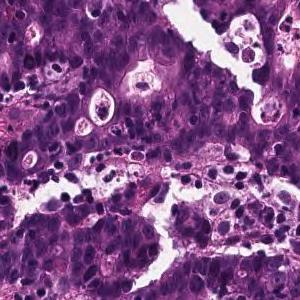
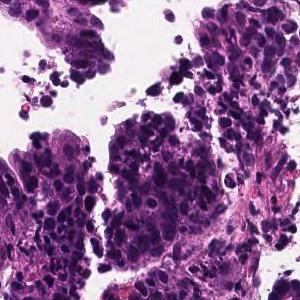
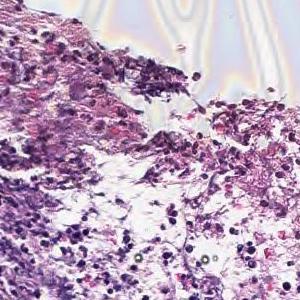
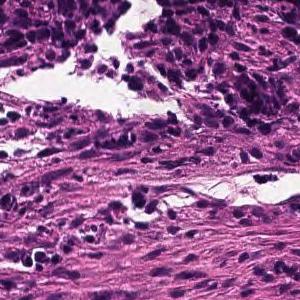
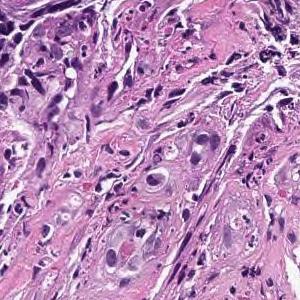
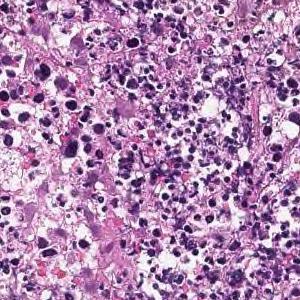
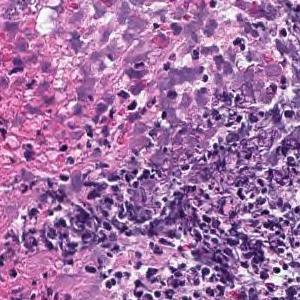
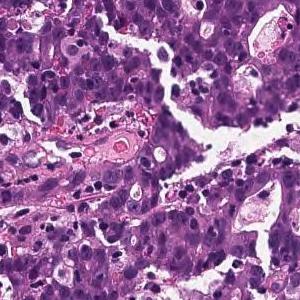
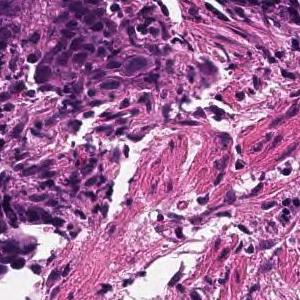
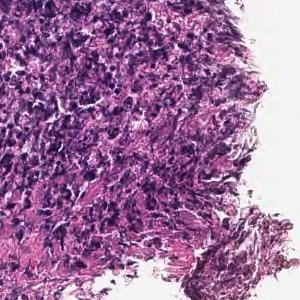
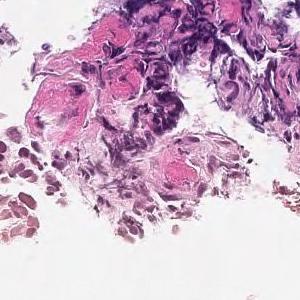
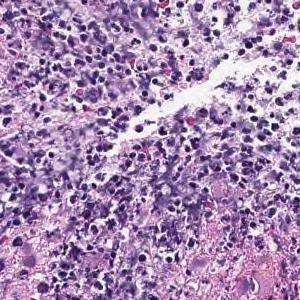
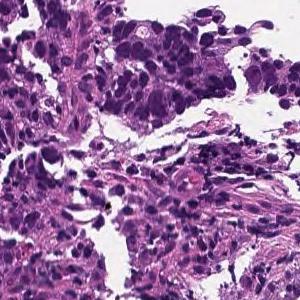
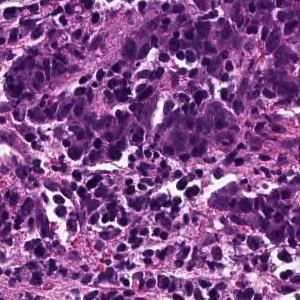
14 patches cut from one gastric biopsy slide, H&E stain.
Pathology report for the slide these tiles were cut from. What the report and the diagnosis say applies to the whole slide; these tiles may miss some of the features named and may include tissue that is not tumor.
In the superficial epithelium, tumor tissue that invades by forming medium-sized to small, irregular ducts is observed. moderately differentiated tubular adenocarcinoma.
